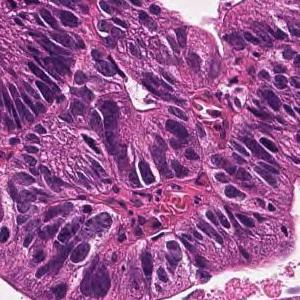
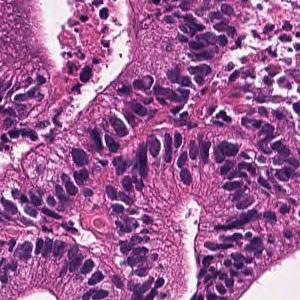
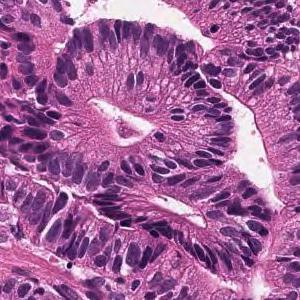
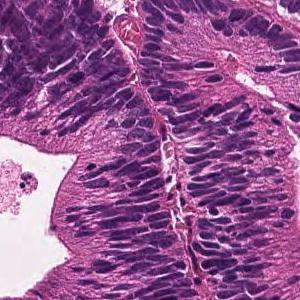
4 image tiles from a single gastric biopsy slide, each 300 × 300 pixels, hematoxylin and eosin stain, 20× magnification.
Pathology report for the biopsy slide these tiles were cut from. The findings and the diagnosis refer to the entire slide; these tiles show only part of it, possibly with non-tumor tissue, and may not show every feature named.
From the superficial epithelium to the muscularis mucosae, tumor tissue infiltrating by forming medium-sized irregular gland ducts is observed. Large tumor cells exhibit large nucleus and hyperchromatism. Well differentiated tubular adenocarcinoma
